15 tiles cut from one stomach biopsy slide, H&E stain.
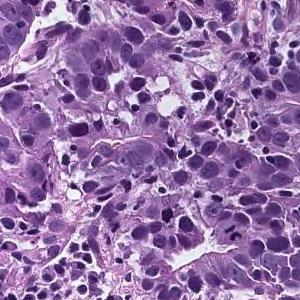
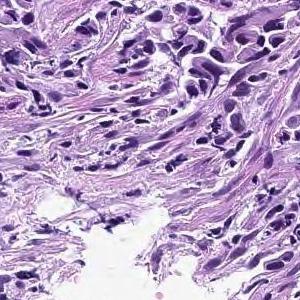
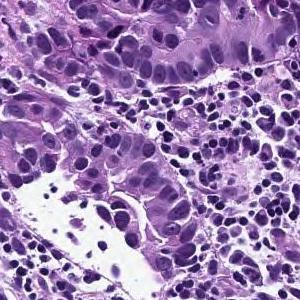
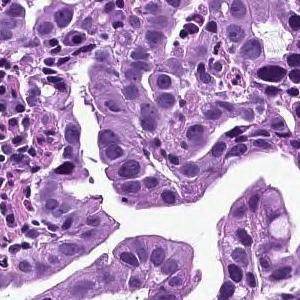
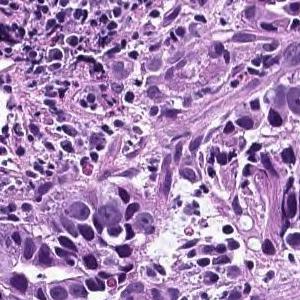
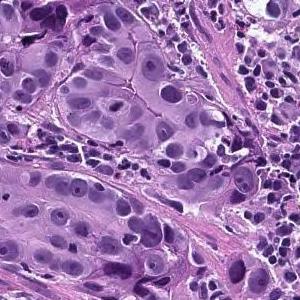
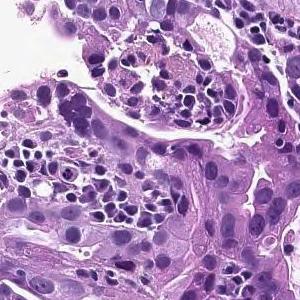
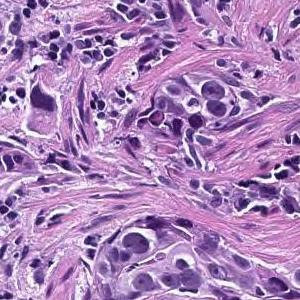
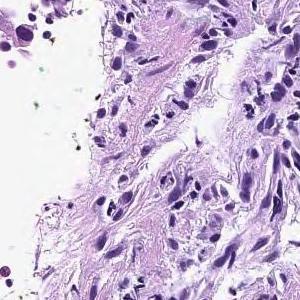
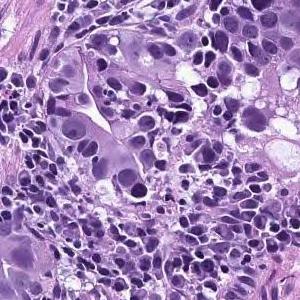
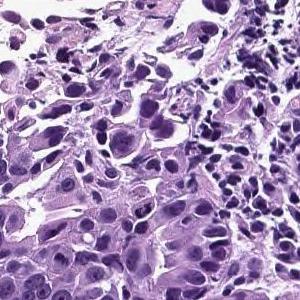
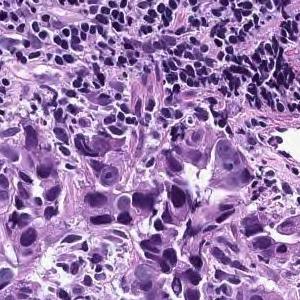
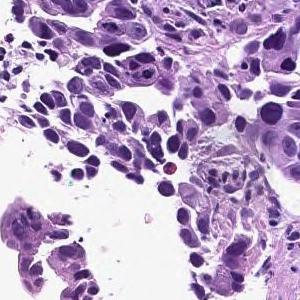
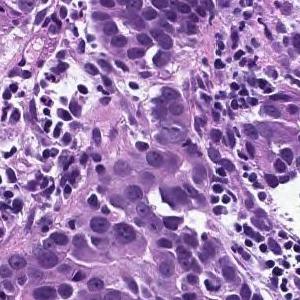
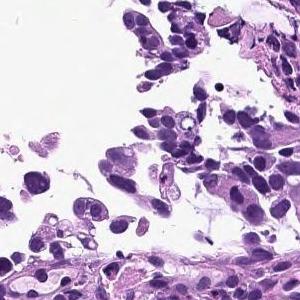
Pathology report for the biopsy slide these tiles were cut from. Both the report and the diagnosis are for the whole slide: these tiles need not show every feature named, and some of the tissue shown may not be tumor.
In the superficial epithelium, tumor tissue that invades by forming medium-sized to small, irregular ducts is observed. moderately differentiated tubular adenocarcinoma.
